×20; hematoxylin and eosin stain; 11 tiles from the same stomach biopsy slide; 300×300 px each.
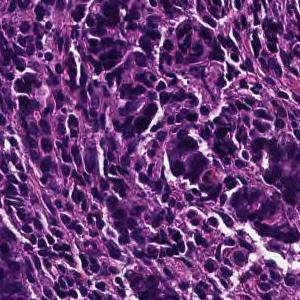
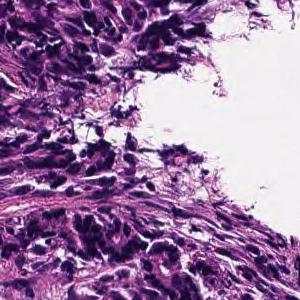
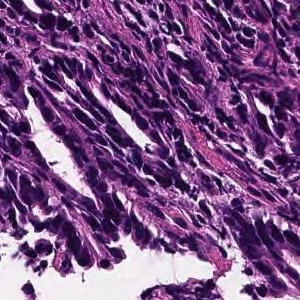
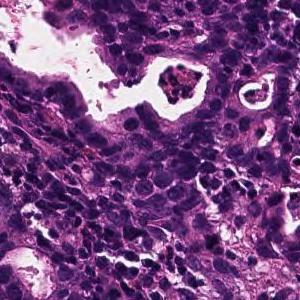
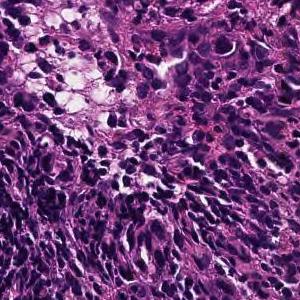
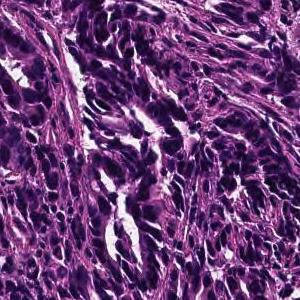
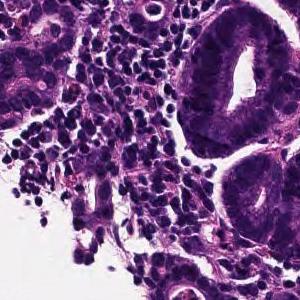
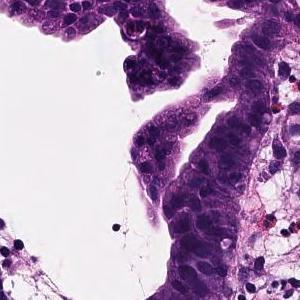
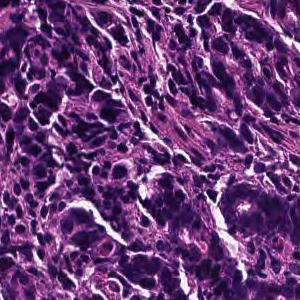
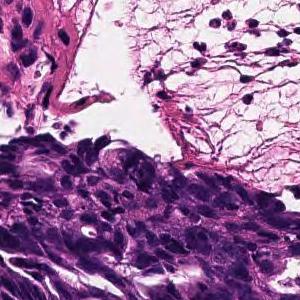
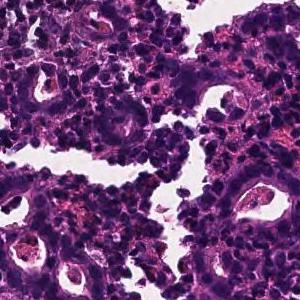
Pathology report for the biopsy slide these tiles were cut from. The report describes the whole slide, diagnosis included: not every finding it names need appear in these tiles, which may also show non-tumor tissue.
On the superficial epithelium, tumor tissue is found in which medium-sized irregular gland ducts fuse with each other and infiltrate. moderately differentiated tubular adenocarcinoma or Poorly differentiated adenocarcinoma, non-solid type
Subtype: Moderately to poorly differentiated adenocarcinoma.
"Non-solid type" is a category of the Japanese Classification of Gastric Carcinoma.
